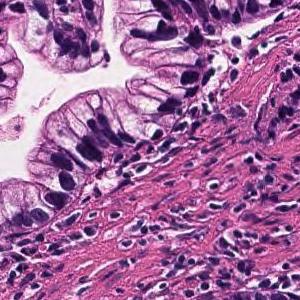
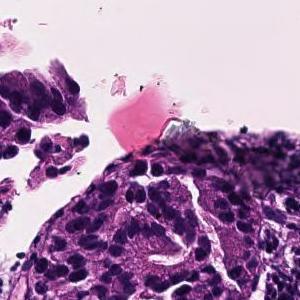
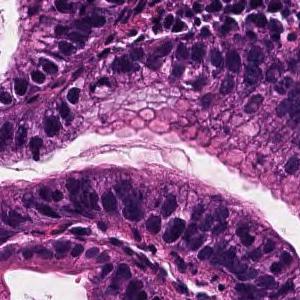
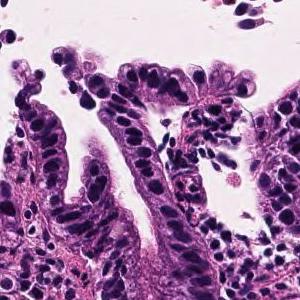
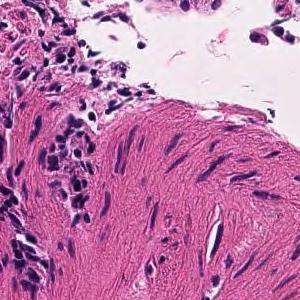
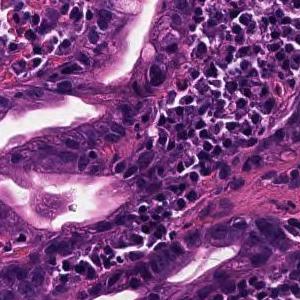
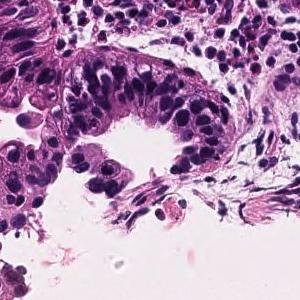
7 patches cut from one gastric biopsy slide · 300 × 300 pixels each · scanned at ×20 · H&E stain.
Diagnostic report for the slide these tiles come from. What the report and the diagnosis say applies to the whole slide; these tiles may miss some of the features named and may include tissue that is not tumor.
Tumor cells are large, highly columnar, large club-shaped nuclei, and are associated with chromatin aggregation. Papillary adenocarcinoma.
